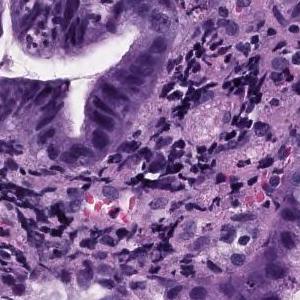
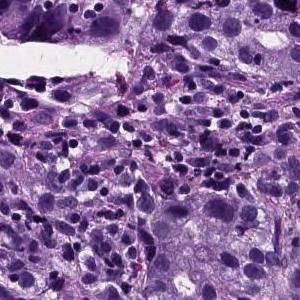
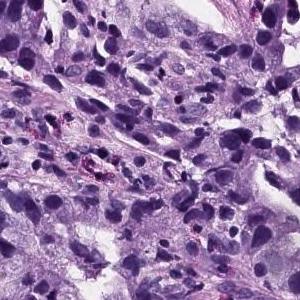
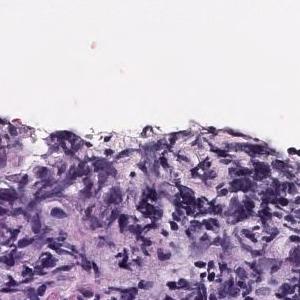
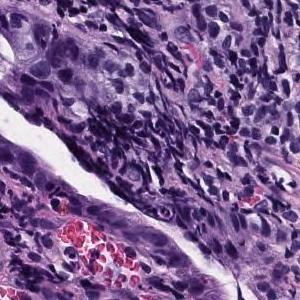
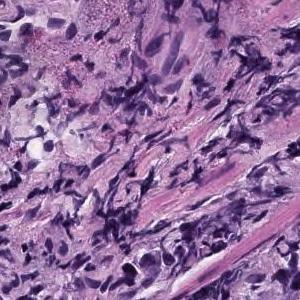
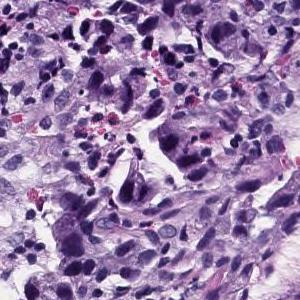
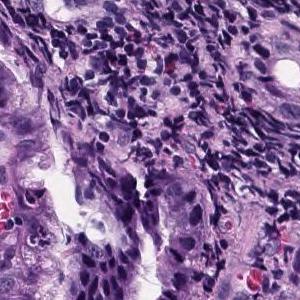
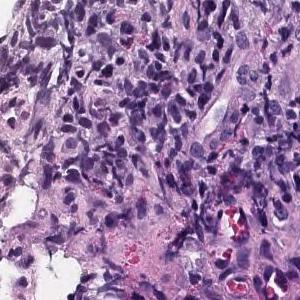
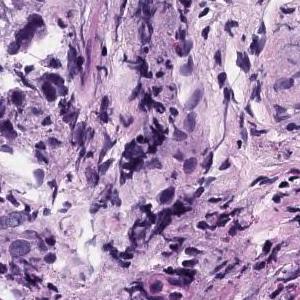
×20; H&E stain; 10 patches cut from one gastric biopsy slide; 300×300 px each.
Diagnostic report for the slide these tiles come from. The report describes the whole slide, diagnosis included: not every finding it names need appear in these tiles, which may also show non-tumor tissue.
Atypical epithelial cells infiltrating and proliferating while forming solid or cord-like fused glandular cavities of different sizes is observed. moderately differentiated tubular adenocarcinoma, poorly differentiated adenocarcinoma.
Classified as moderately to poorly differentiated adenocarcinoma.
